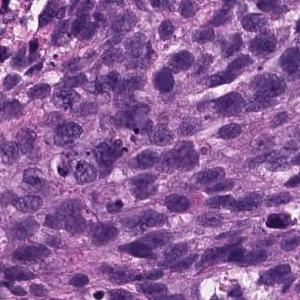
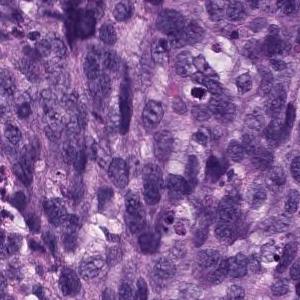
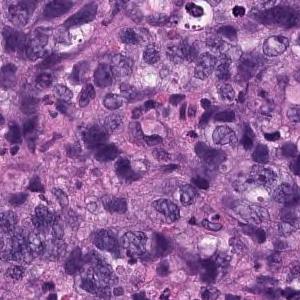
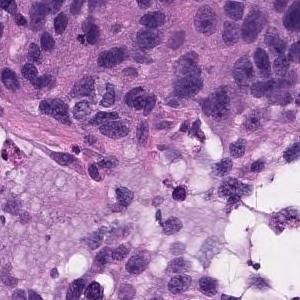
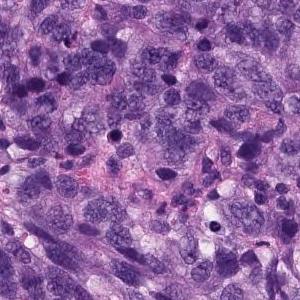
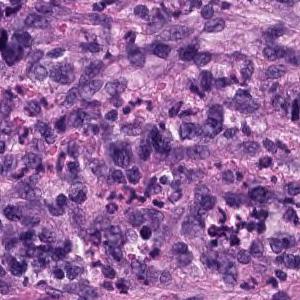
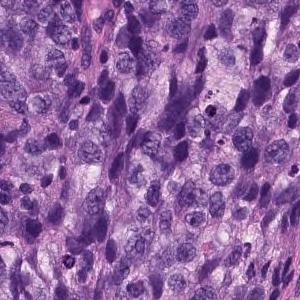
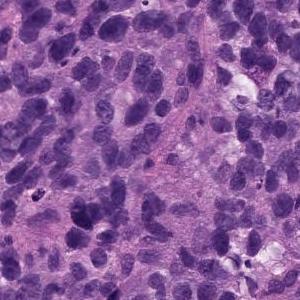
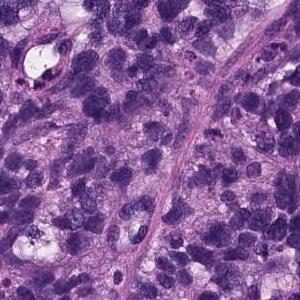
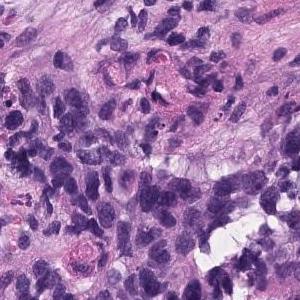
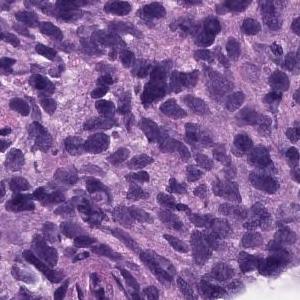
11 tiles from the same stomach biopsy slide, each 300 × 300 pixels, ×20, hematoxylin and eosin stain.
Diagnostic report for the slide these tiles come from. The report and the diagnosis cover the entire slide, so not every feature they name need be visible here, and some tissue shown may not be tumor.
Atypical l cells with atypical nuclei under the mucosa growing in isolation and scattered. Poorly differentiated adenocarcinoma (poorly differentiated adenocarcinoma, non-solid type)
Tumor subtype: poorly differentiated adenocarcinoma, non-solid type.
The non-solid type named here is a Japanese Classification of Gastric Carcinoma category.
